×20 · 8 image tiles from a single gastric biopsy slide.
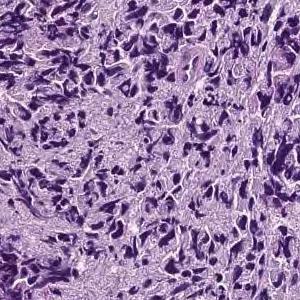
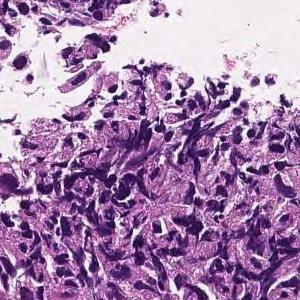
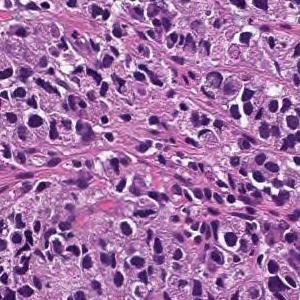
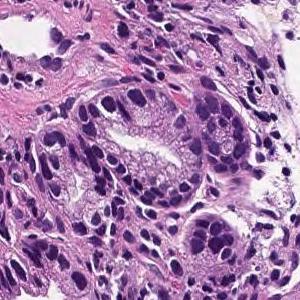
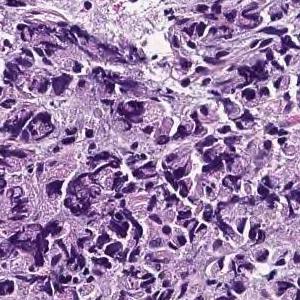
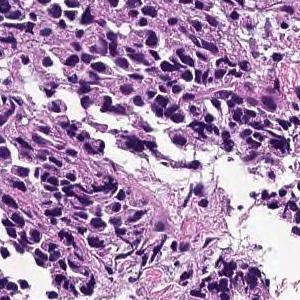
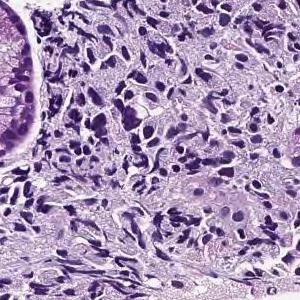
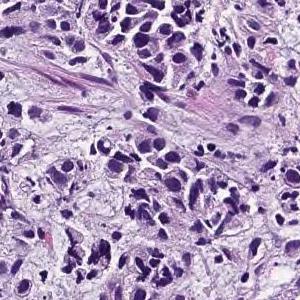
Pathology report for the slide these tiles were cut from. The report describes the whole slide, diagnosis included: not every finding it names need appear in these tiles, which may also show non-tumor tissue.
The lamina propria shows small cord-like tumor tissue that infiltrates with fibrosis and marked chronic inflammatory cell infiltration. Poorly differentiated adenocarcinoma, non-solid type
The non-solid type named here is a Japanese Classification of Gastric Carcinoma category.
